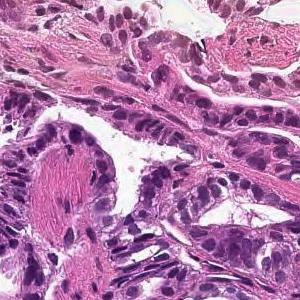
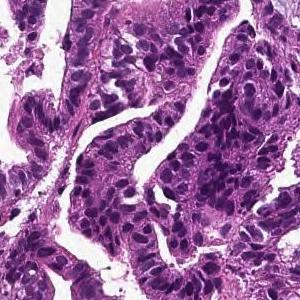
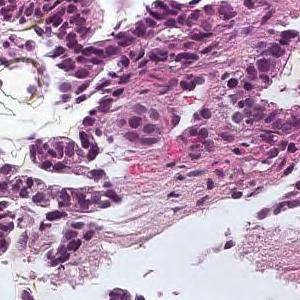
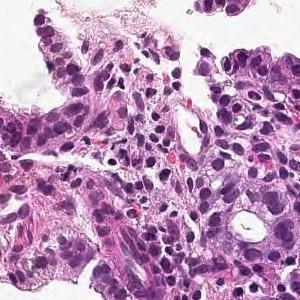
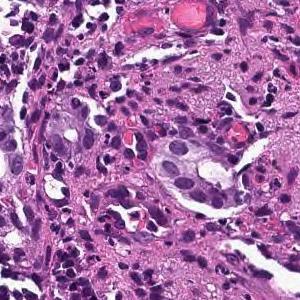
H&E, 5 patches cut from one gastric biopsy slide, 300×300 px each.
Pathology report for the slide these tiles were cut from. The report and the diagnosis describe the slide as a whole, so these tiles may not show every feature named and may include non-tumor tissue.
Tumor cells are large, highly columnar, large club-shaped nuclei, and are associated with chromatin aggregation. Papillary adenocarcinoma.
